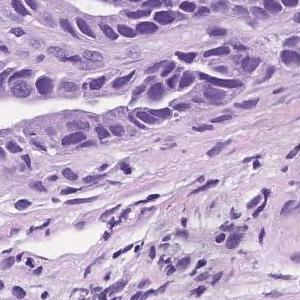
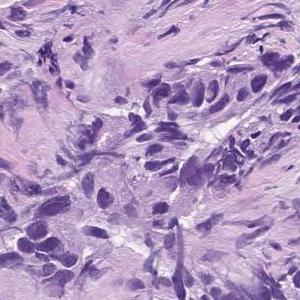
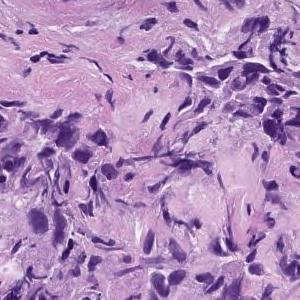
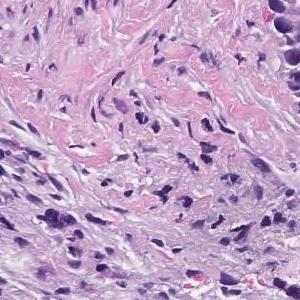
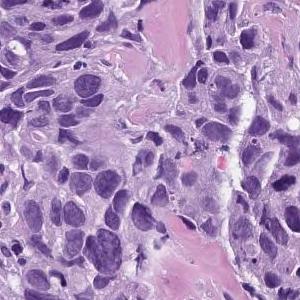
5 tiles cut from one stomach biopsy slide, hematoxylin and eosin stain.
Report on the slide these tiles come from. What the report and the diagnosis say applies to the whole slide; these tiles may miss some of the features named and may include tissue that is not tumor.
In the superficial epithelium, tumor tissue that invades by forming medium-sized to small, irregular ducts is observed. moderately differentiated tubular adenocarcinoma.
